20× magnification · 7 image tiles from a single gastric biopsy slide.
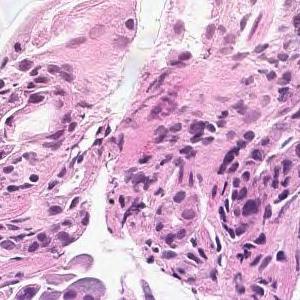
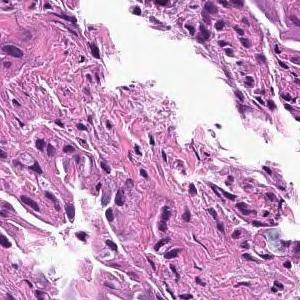
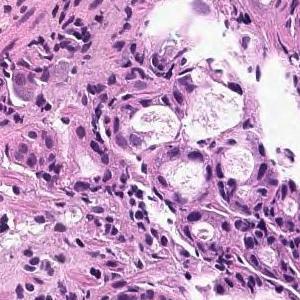
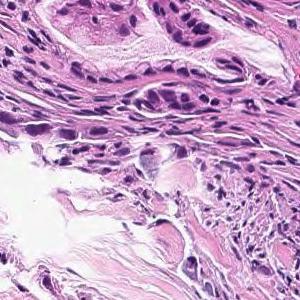
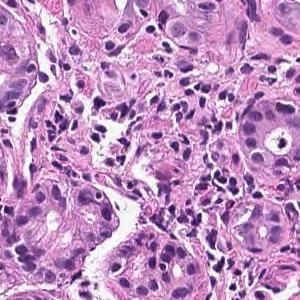
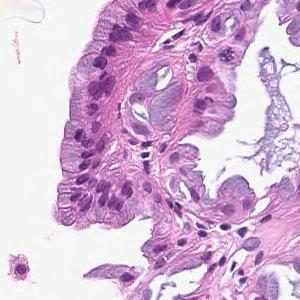
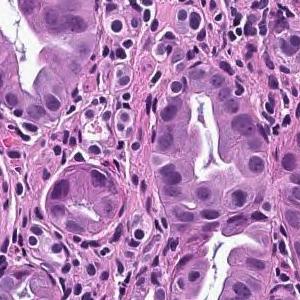
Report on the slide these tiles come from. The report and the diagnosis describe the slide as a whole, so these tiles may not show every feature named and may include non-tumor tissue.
From the superficial epithelium to the muscularis mucosae, tumor tissue consisting of medium-sized and irregular glandular ducts infiltrating is observed. Well differentiated tubular adenocarcinoma
